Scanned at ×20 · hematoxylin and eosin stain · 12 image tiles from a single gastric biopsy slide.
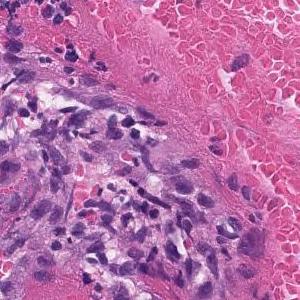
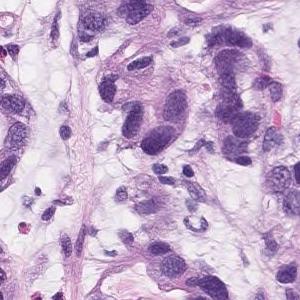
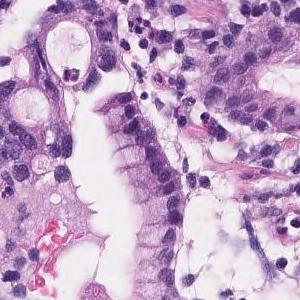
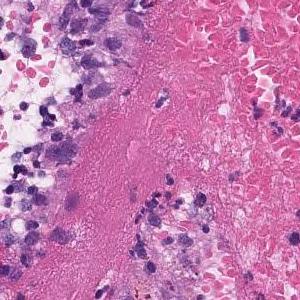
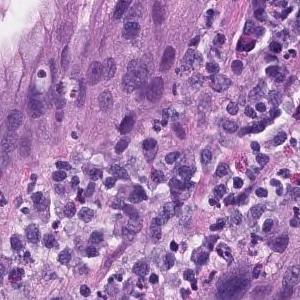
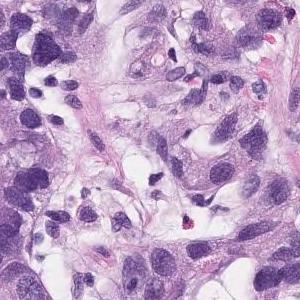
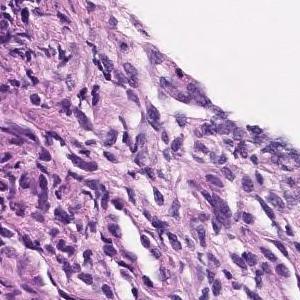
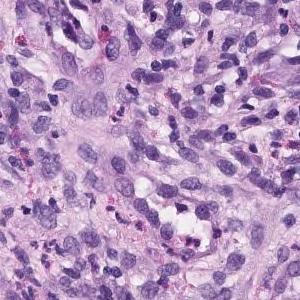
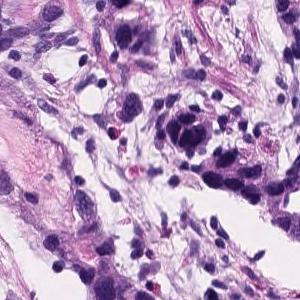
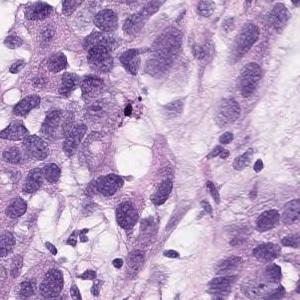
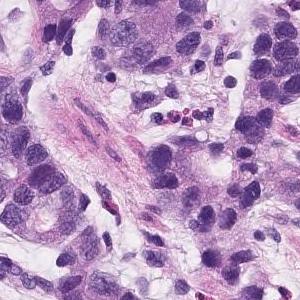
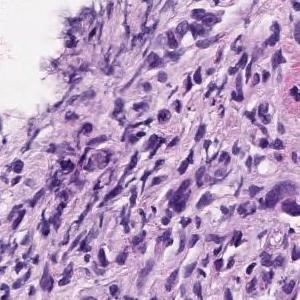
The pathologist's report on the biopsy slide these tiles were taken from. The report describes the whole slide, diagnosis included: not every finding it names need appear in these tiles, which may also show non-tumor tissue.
Group 5, Adenocarcinoma. Moderately to poorly differentiated adenocarcinoma
